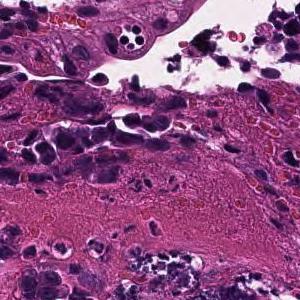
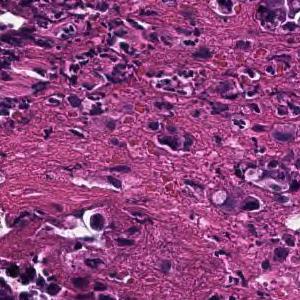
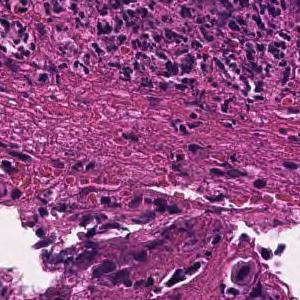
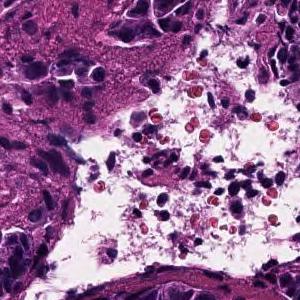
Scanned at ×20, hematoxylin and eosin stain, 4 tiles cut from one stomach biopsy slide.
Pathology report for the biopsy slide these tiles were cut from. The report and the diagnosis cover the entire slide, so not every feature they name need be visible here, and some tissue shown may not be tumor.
Tumor tissue consisting of cord-like or small, irregular glandular ducts fused and infiltrated is observed in the superficial epithelium. Poorly differentiated adenocarcinoma, non-solid type
The term "non-solid type" comes from the Japanese Classification of Gastric Carcinoma.
